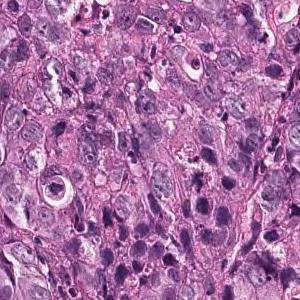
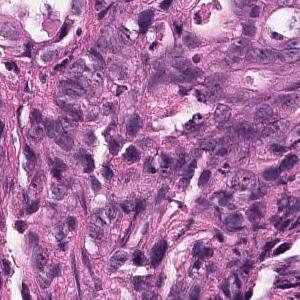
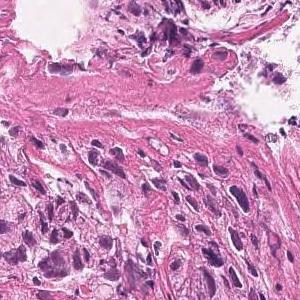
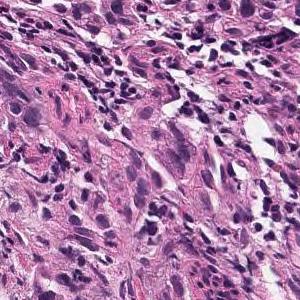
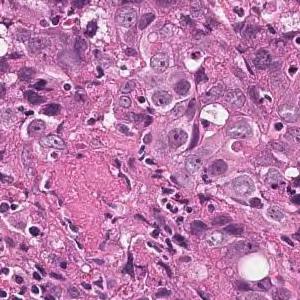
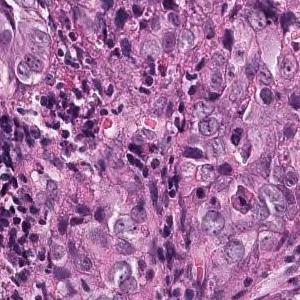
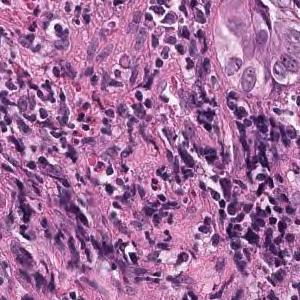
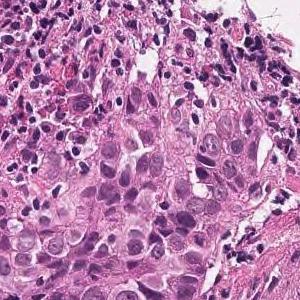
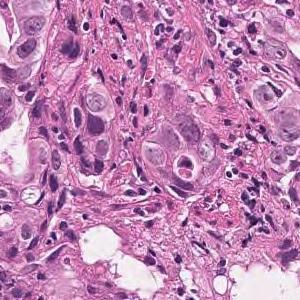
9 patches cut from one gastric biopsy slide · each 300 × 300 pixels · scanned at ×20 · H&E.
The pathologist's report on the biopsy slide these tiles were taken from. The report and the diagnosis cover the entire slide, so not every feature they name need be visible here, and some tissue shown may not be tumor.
Tumor tissue that infiltrates and proliferates with alveolar or cord-like structures with small glandular cavities in the superficial to submucosal layers is observed. moderately differentiated tubular adenocarcinoma
